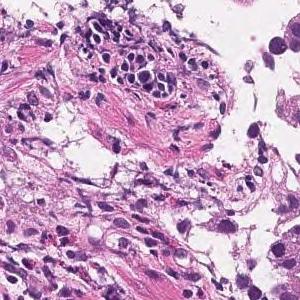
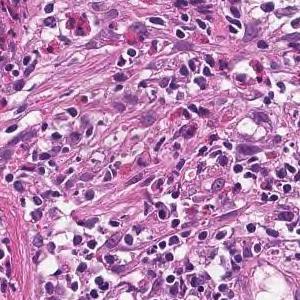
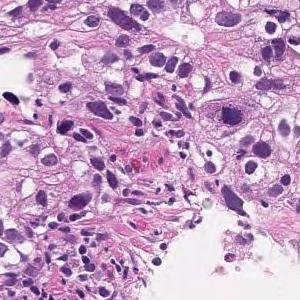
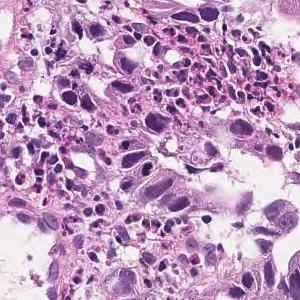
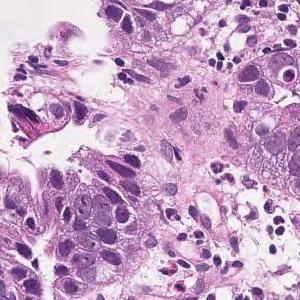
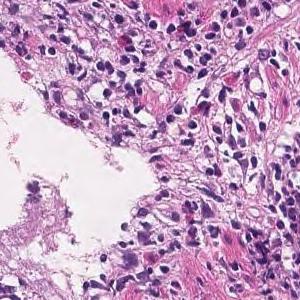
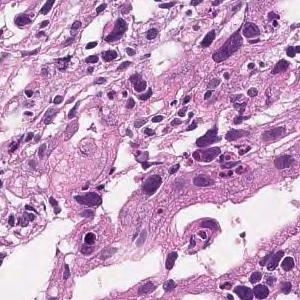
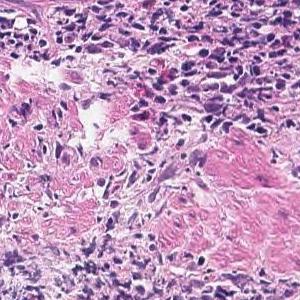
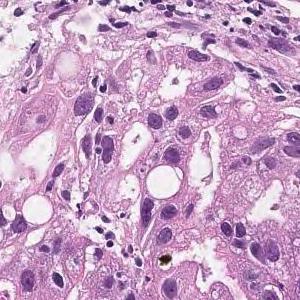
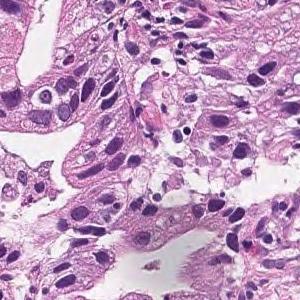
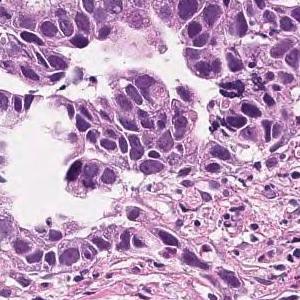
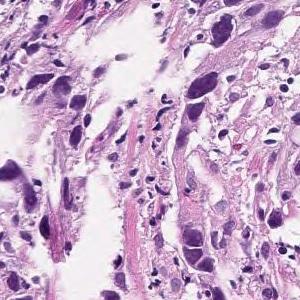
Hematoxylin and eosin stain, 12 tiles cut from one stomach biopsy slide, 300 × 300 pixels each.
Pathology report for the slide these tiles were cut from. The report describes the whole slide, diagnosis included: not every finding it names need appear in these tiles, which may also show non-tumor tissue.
In the superficial epithelium, tumor tissue that invades by forming medium-sized to small, irregular ducts is observed. moderately differentiated tubular adenocarcinoma.
